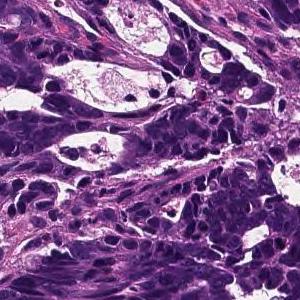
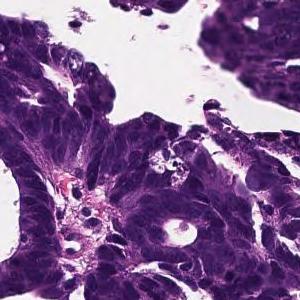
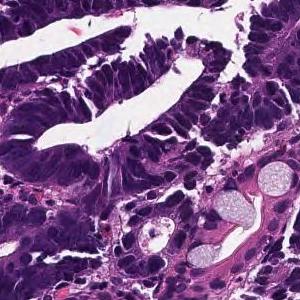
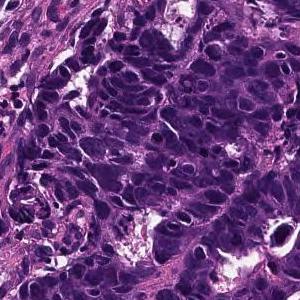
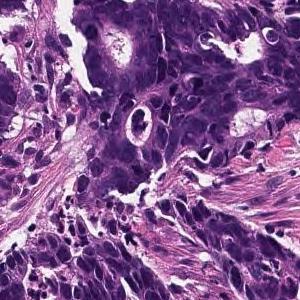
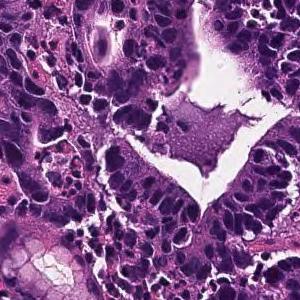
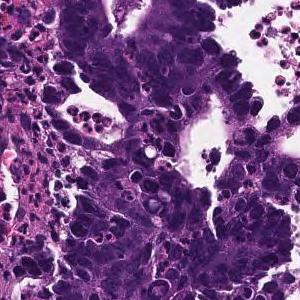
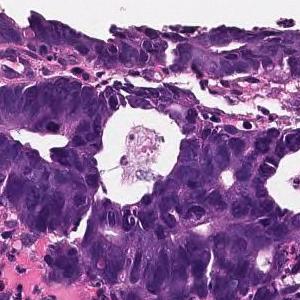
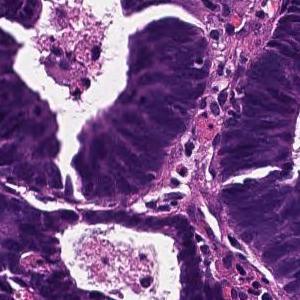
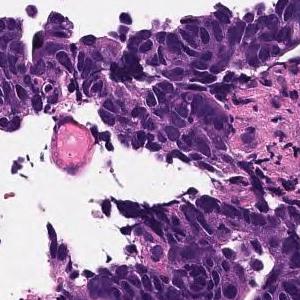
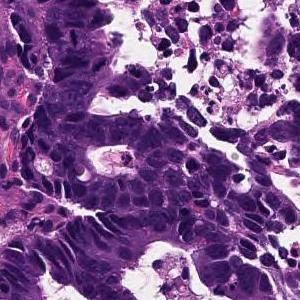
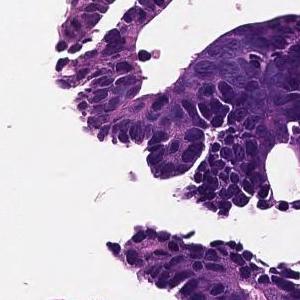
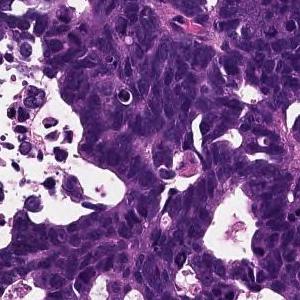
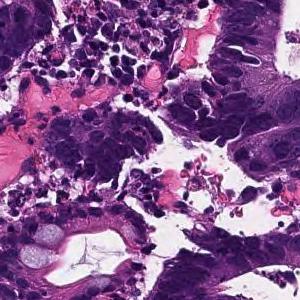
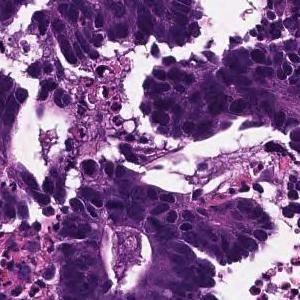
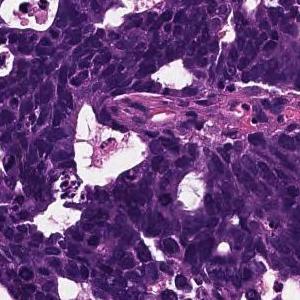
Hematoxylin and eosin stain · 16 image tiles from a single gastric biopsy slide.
Diagnostic report for the slide these tiles come from. Both the report and the diagnosis are for the whole slide: these tiles need not show every feature named, and some of the tissue shown may not be tumor.
In the superficial epithelium, tumor tissue that invades by forming medium-sized to small, irregular ducts is observed. moderately differentiated tubular adenocarcinoma.
